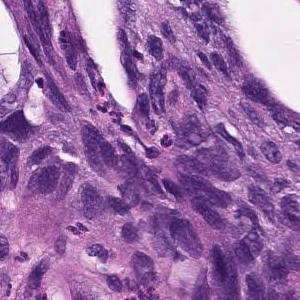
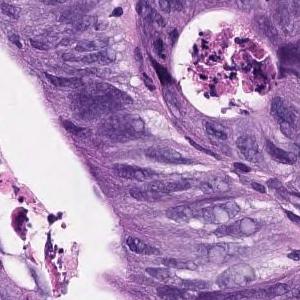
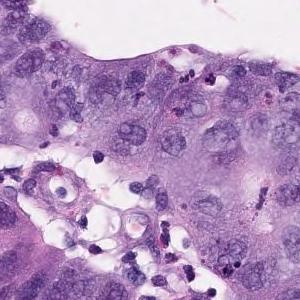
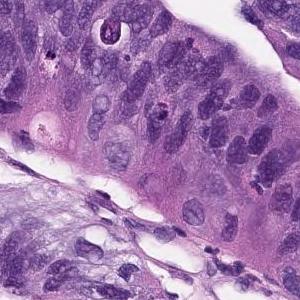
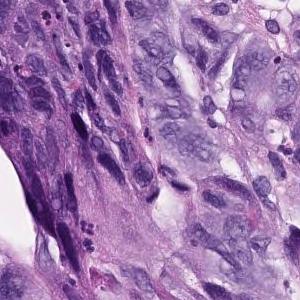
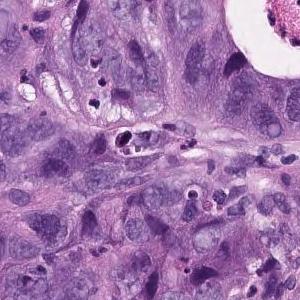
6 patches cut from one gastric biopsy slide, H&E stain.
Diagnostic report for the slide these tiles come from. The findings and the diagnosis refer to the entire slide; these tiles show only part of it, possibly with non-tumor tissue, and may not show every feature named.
In the superficial epithelium, tumor tissue that invades by forming medium-sized to small, irregular ducts is observed. Moderately differentiated adenocarcinoma.
Classified as moderately differentiated tubular adenocarcinoma.
